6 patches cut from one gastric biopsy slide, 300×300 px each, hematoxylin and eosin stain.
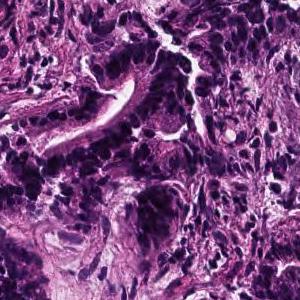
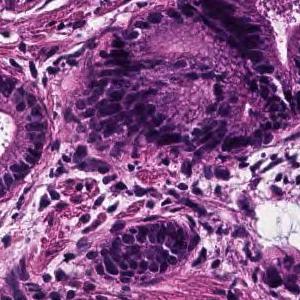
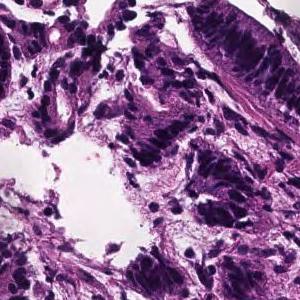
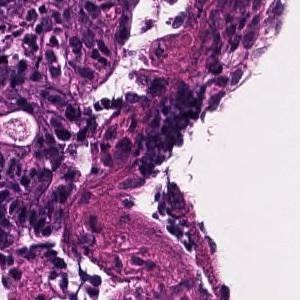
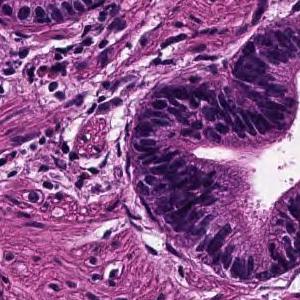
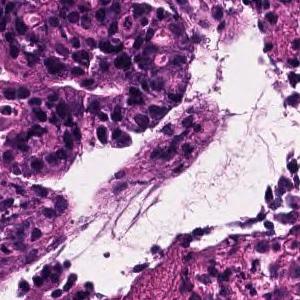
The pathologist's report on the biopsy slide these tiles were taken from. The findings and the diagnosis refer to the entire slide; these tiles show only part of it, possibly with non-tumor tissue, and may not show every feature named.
In the superficial epithelium, tumor tissue that invades by forming medium-sized to small, irregular ducts is observed. Well differentiated tubular adenocarcinoma.
